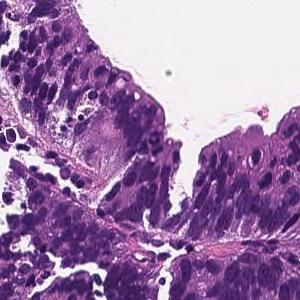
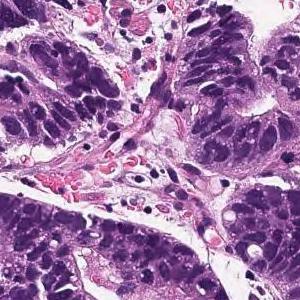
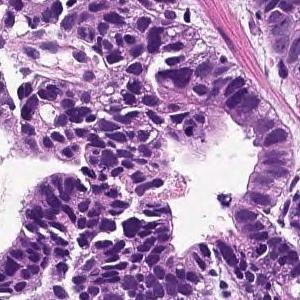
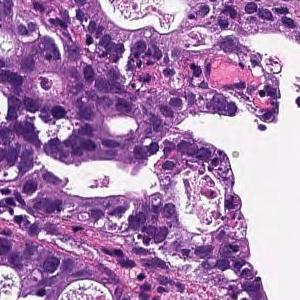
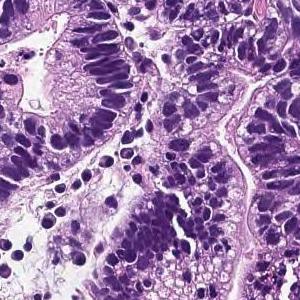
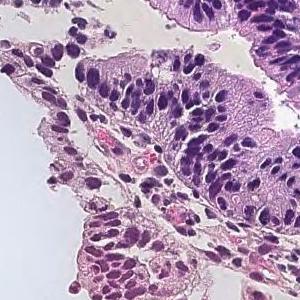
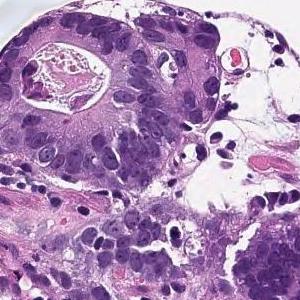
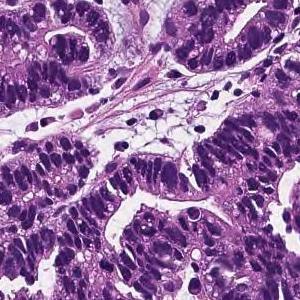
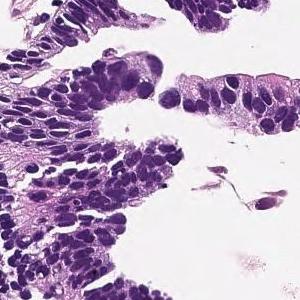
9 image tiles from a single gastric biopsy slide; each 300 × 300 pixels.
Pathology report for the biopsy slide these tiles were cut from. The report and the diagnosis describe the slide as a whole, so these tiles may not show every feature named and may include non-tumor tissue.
In the superficial epithelium, tumor tissue that invades by forming medium-sized to small, irregular ducts is observed. moderately differentiated tubular adenocarcinoma.
